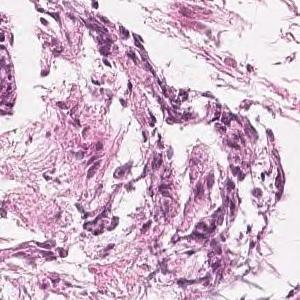
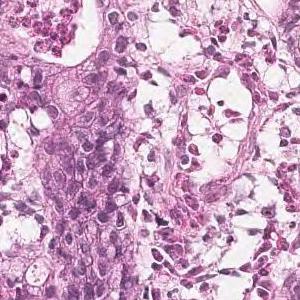
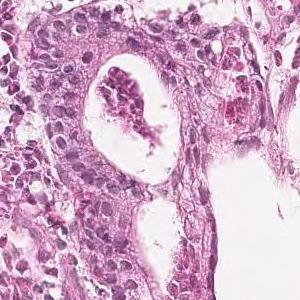
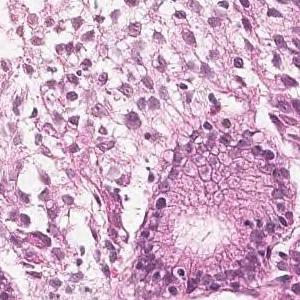
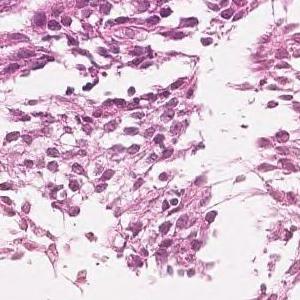
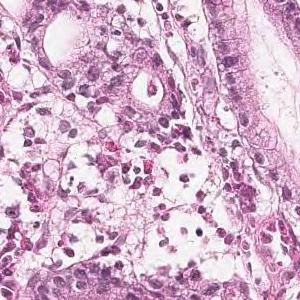
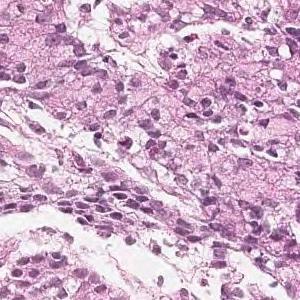
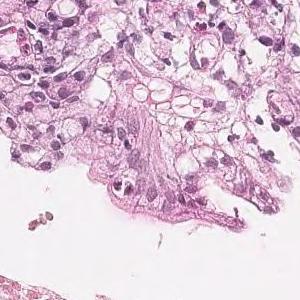
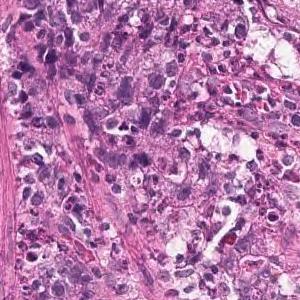
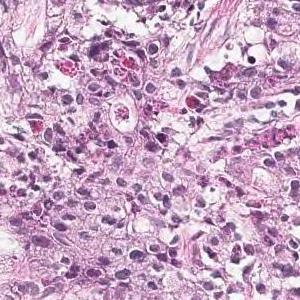
Hematoxylin and eosin stain; 10 tiles from the same stomach biopsy slide.
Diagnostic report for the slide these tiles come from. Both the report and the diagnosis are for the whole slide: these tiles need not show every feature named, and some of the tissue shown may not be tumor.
Tumor tissue consisting of medium-sized, cord-like or irregular glandular infiltration is observed in the superficial epithelium. Poorly differentiated adenocarcinoma, non-solid type or moderately differentiated tubular adenocarcinoma
"Non-solid type" is a category of the Japanese Classification of Gastric Carcinoma.
